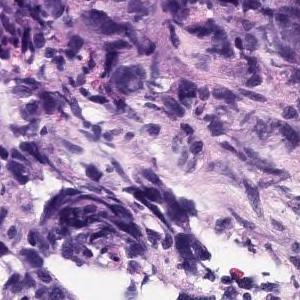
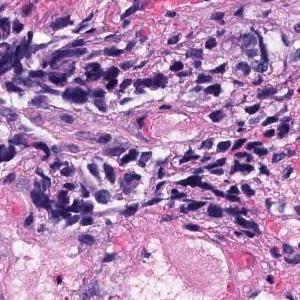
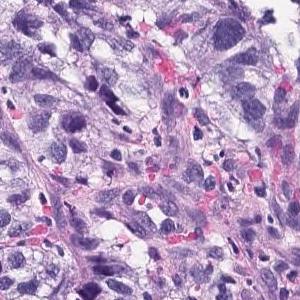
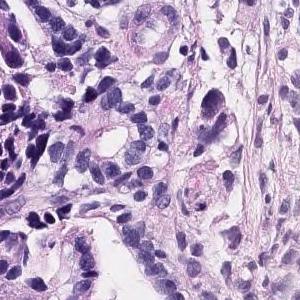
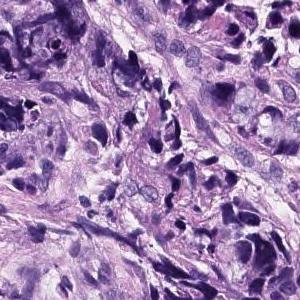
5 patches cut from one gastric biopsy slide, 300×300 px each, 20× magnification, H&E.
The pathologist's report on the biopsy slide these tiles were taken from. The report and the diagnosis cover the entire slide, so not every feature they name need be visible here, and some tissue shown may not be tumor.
The superficial epithelium shows small cord-like infiltrating tumor tissue. Some part of neoplastic cells are signet ring cell type which show single invasion manner. Poorly differentiated adenocarcinoma, non-solid type.
The non-solid type named here is a Japanese Classification of Gastric Carcinoma category.
